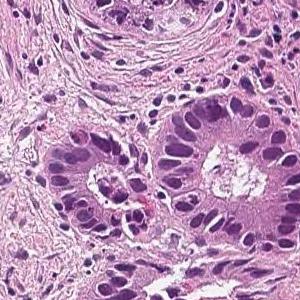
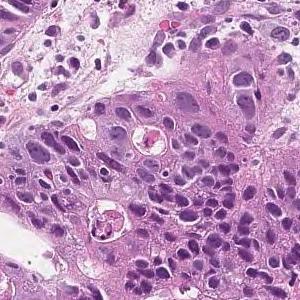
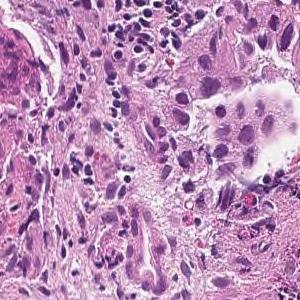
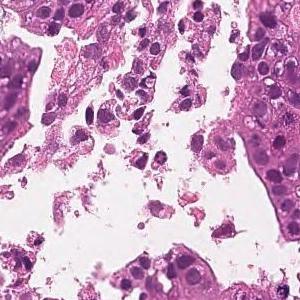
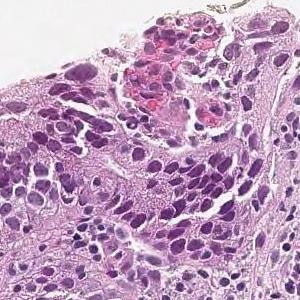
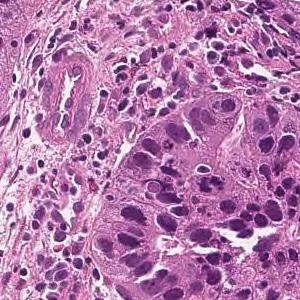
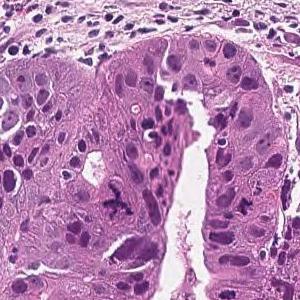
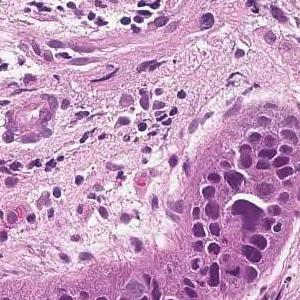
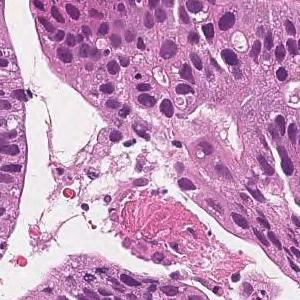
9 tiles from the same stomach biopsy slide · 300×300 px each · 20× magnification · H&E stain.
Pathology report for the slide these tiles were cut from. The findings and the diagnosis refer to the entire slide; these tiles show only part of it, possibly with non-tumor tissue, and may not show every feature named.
In the superficial epithelium, tumor tissue that invades by forming medium-sized to small, irregular ducts is observed. moderately differentiated tubular adenocarcinoma.
